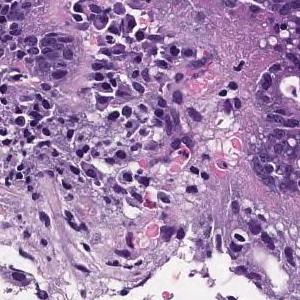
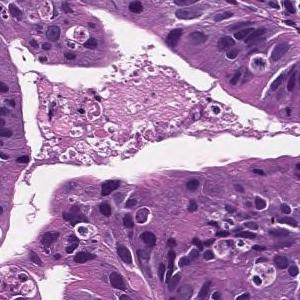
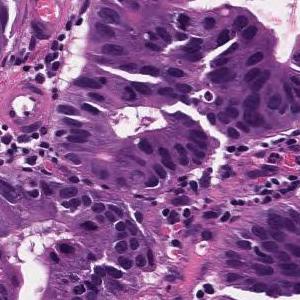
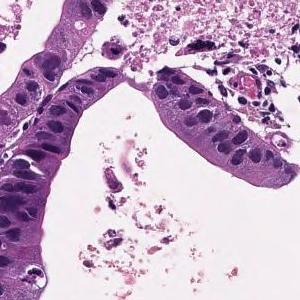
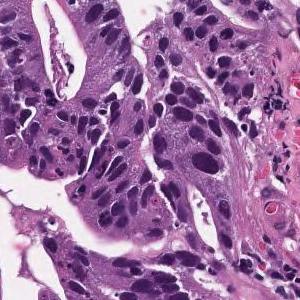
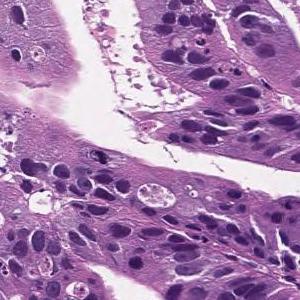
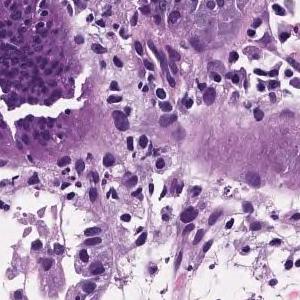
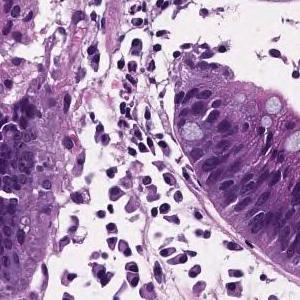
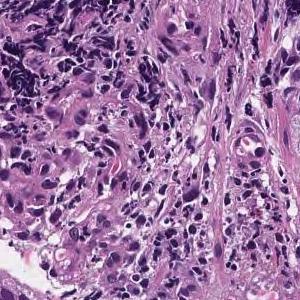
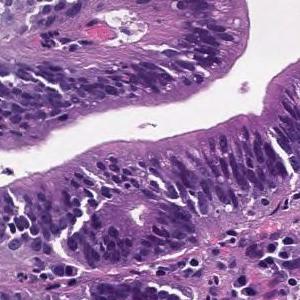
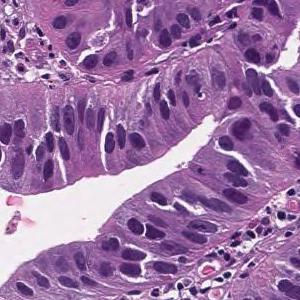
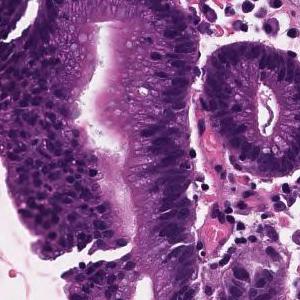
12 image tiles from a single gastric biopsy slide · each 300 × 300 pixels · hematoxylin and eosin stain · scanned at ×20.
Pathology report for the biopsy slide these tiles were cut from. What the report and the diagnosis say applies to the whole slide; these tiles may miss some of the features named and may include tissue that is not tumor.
Tumor cells are large, highly columnar, large club-shaped nuclei, and are associated with chromatin aggregation. Papillary adenocarcinoma.
